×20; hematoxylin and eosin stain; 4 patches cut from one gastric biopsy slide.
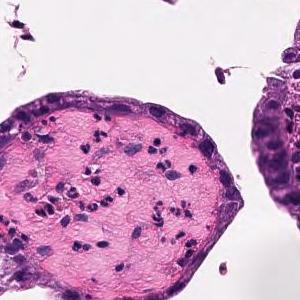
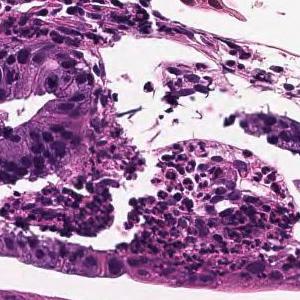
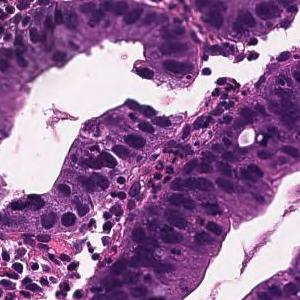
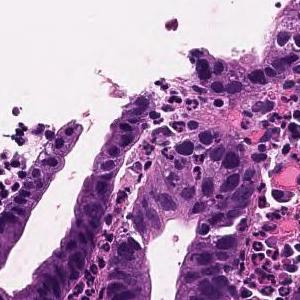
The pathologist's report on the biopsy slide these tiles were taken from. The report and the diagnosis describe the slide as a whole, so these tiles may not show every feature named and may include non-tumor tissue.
From the superficial epithelium to the muscularis mucosae, tumor tissue consisting of medium-sized and irregular glandular ducts infiltrating is observed. Well differentiated tubular adenocarcinoma
